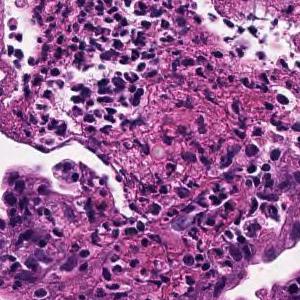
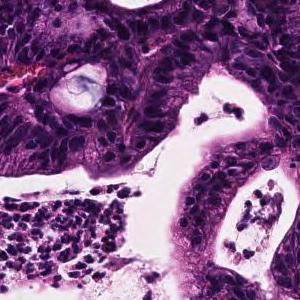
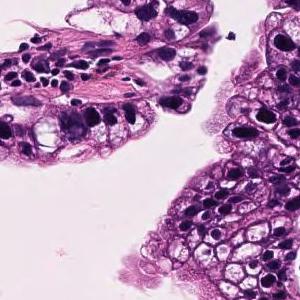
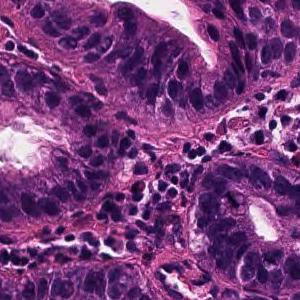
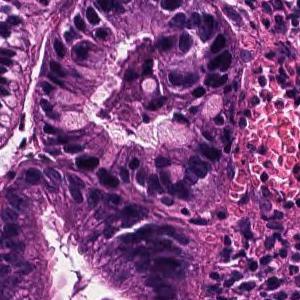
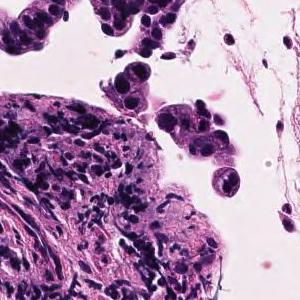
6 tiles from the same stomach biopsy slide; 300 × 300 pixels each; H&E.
The pathologist's report on the biopsy slide these tiles were taken from. The report and the diagnosis describe the slide as a whole, so these tiles may not show every feature named and may include non-tumor tissue.
Tumor cells are large, highly columnar, large club-shaped nuclei, and are associated with chromatin aggregation. Papillary adenocarcinoma.
